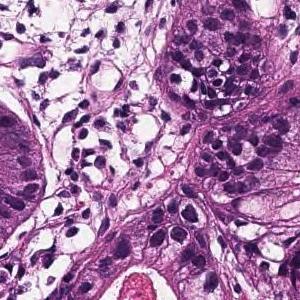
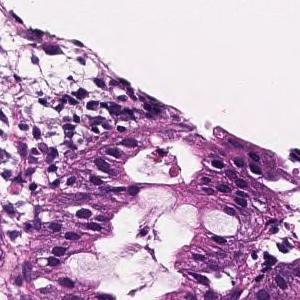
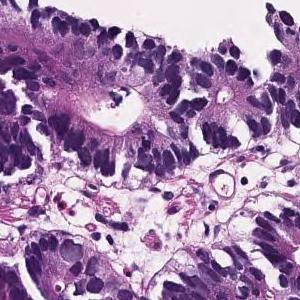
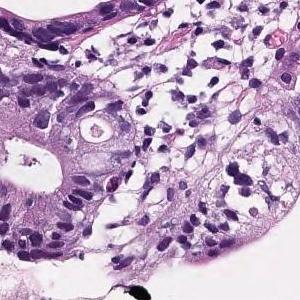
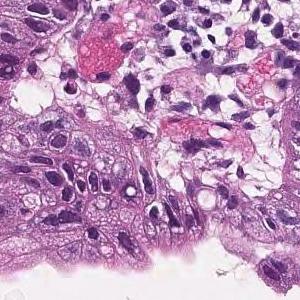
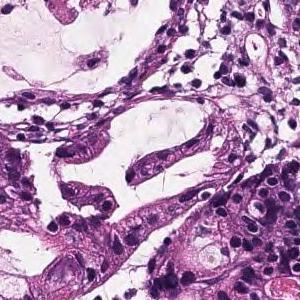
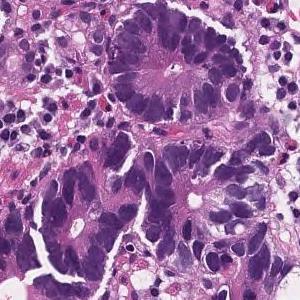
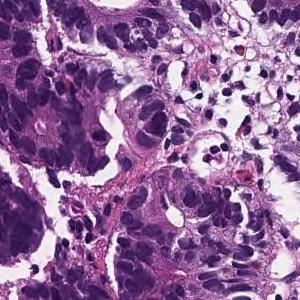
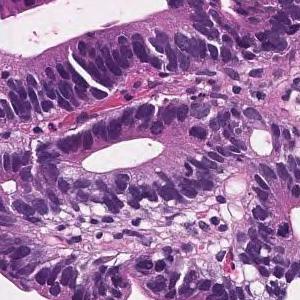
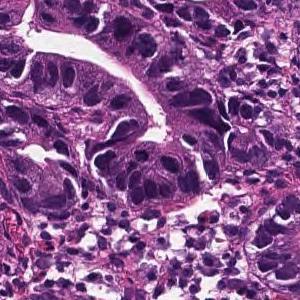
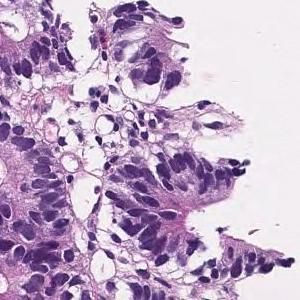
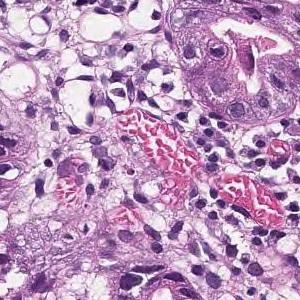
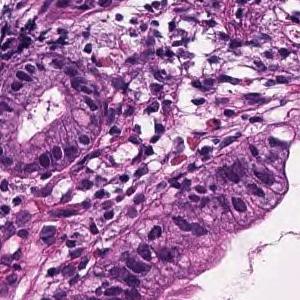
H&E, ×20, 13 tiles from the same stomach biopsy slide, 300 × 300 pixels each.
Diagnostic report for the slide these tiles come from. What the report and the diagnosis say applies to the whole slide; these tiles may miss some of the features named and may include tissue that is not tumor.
On the superficial epithelium, tumor tissue consisting of large, irregular glandular ducts partially fused and infiltrated is observed. Well to moderately differentiated tubular adenocarcinoma (well differentiated tubular adenocarcinoma, moderately differentiated tubular adenocarcinoma)
Classified as well to moderately differentiated tubular adenocarcinoma.
